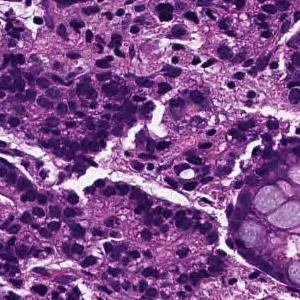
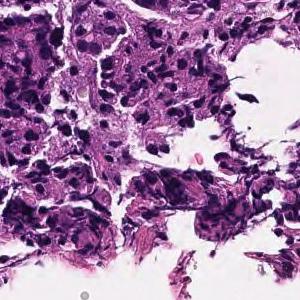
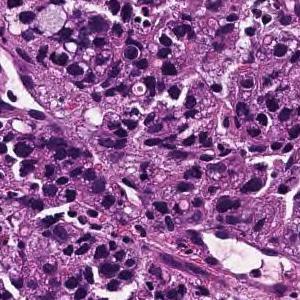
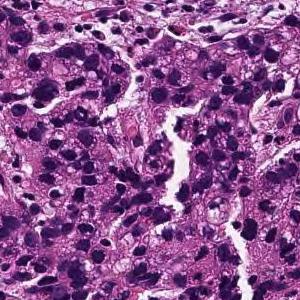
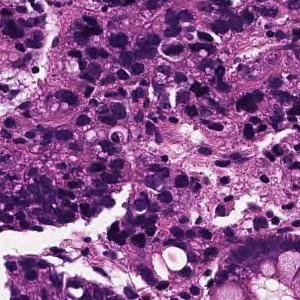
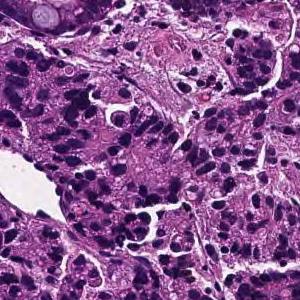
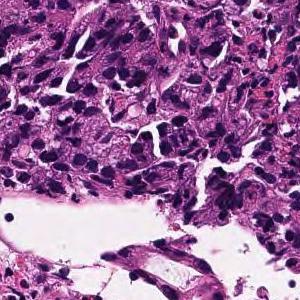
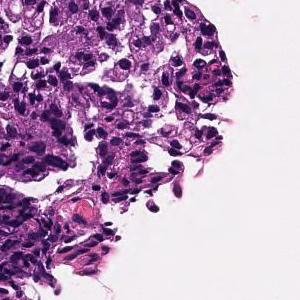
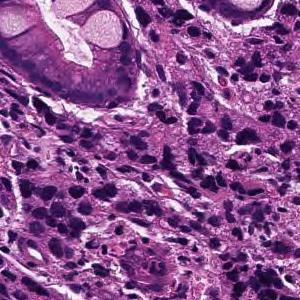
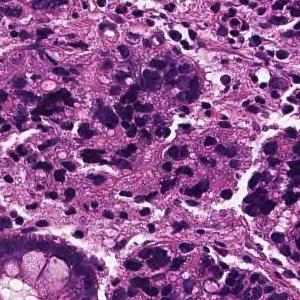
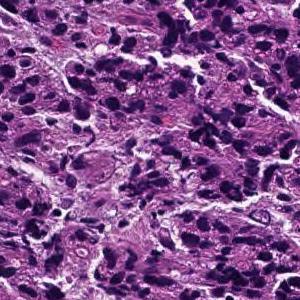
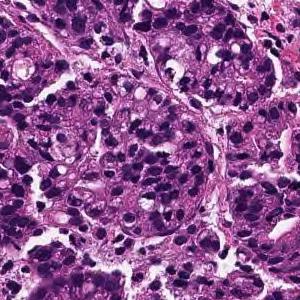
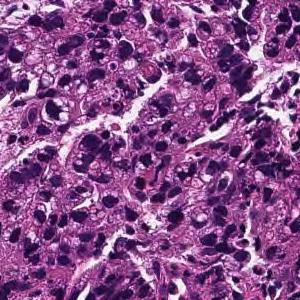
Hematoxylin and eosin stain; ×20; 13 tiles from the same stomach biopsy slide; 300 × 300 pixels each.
Pathology report for the biopsy slide these tiles were cut from. The report describes the whole slide, diagnosis included: not every finding it names need appear in these tiles, which may also show non-tumor tissue.
Tumor tissue consisting of medium-sized, cord-like or irregular glandular infiltration is observed in the superficial epithelium. Poorly differentiated adenocarcinoma, non-solid type or moderately differentiated tubular adenocarcinoma
Subtype: Moderately to poorly differentiated adenocarcinoma.
The term "non-solid type" comes from the Japanese Classification of Gastric Carcinoma.
